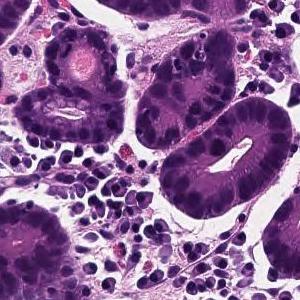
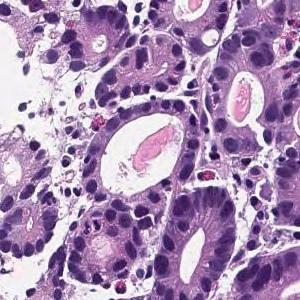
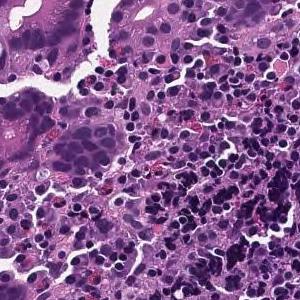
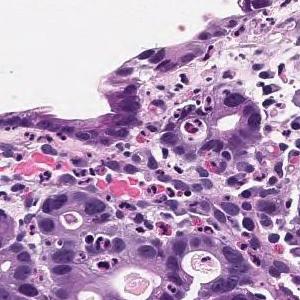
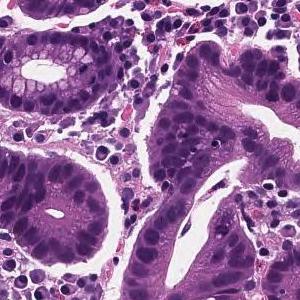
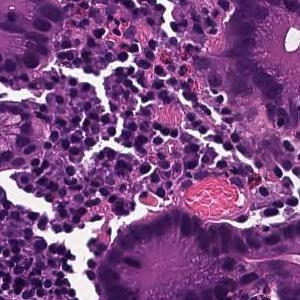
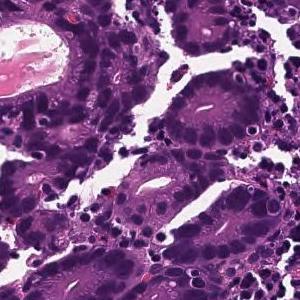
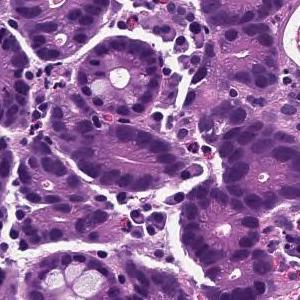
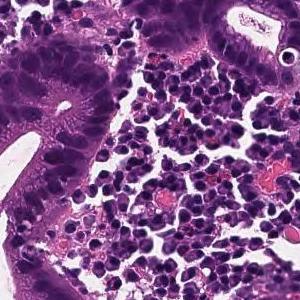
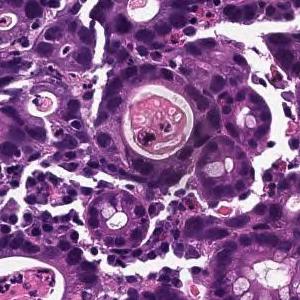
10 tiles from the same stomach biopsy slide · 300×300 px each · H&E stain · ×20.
Pathology report for the slide these tiles were cut from. The findings and the diagnosis refer to the entire slide; these tiles show only part of it, possibly with non-tumor tissue, and may not show every feature named.
Cancer cells with strongly atypical nuclei grow while forming ducts showing lumens of various sizes. moderately differentiated tubular adenocarcinoma
